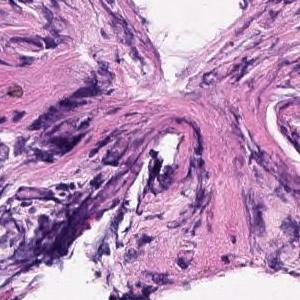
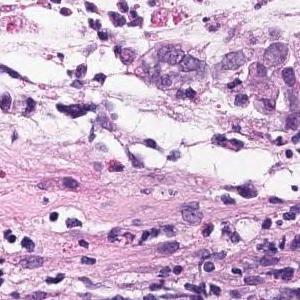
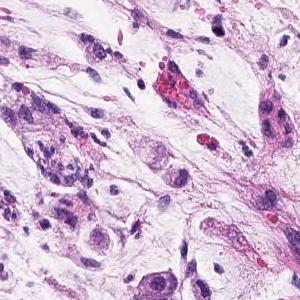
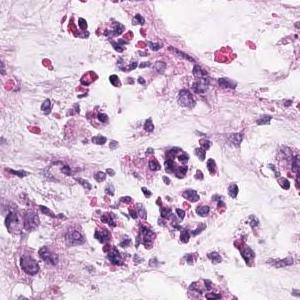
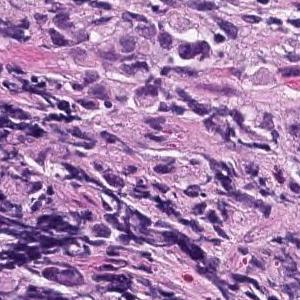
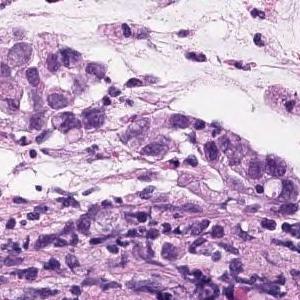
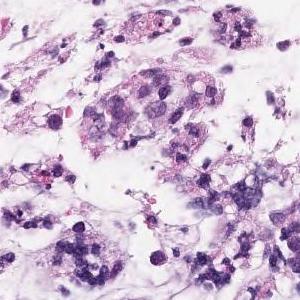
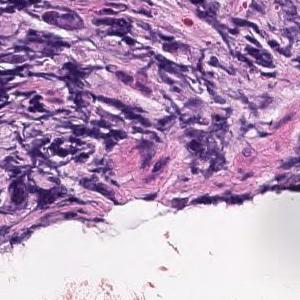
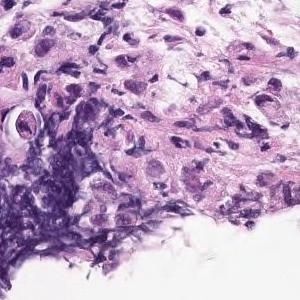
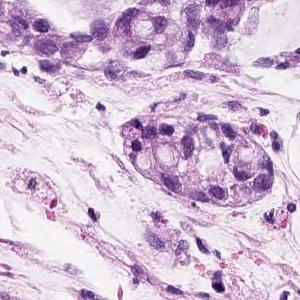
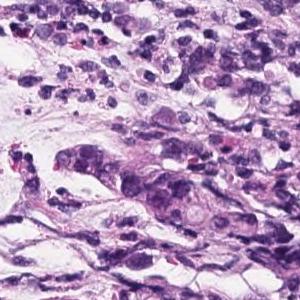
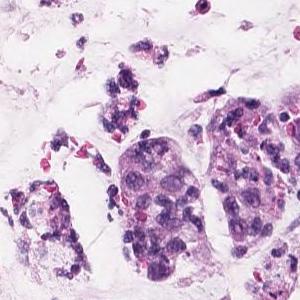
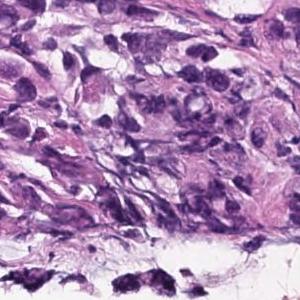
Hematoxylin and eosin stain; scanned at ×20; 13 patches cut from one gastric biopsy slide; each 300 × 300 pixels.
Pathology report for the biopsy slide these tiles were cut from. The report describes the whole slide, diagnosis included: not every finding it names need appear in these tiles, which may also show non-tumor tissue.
Poorly connected atypical epithelium with mucous vacuoles in the cytoplasm proliferating while floating with mucus accumulation outside the cell is observed. Mucinous adenocarcinoma
